H&E; ×20; 14 tiles cut from one stomach biopsy slide; 300 × 300 pixels each.
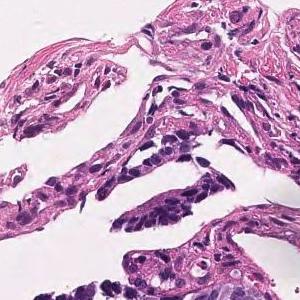
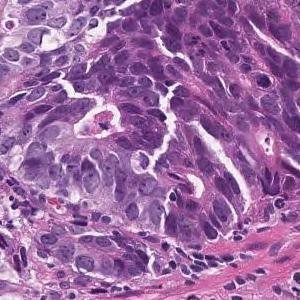
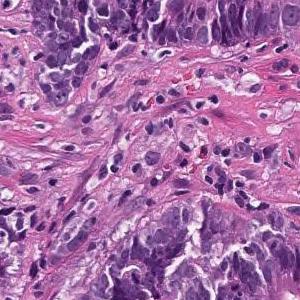
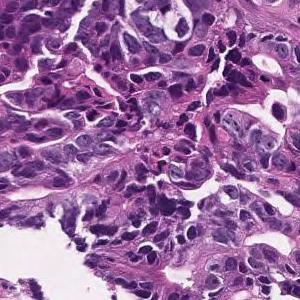
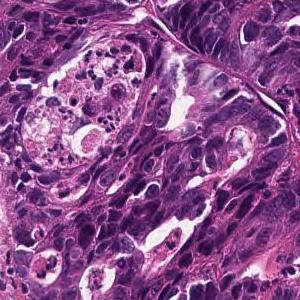
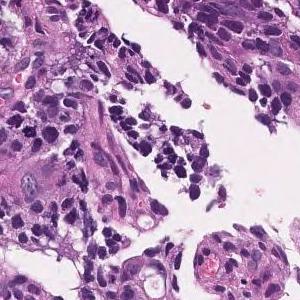
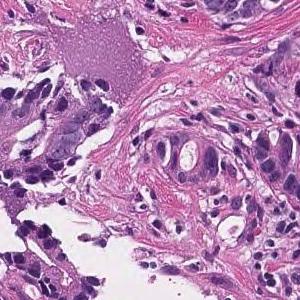
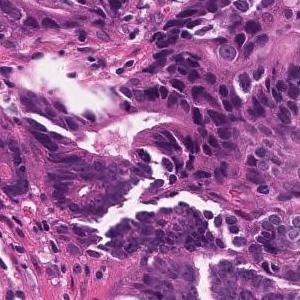
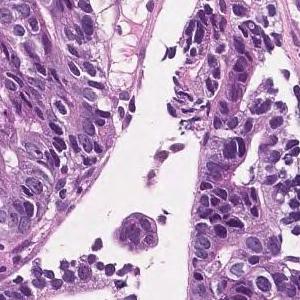
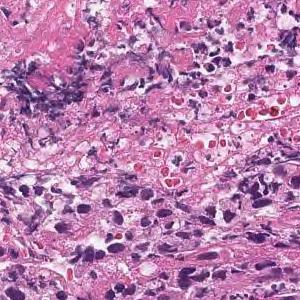
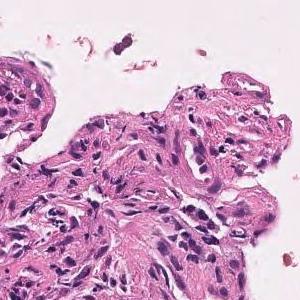
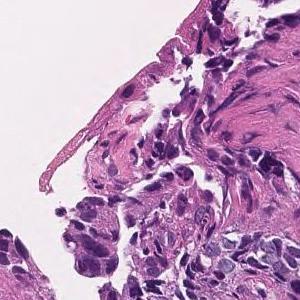
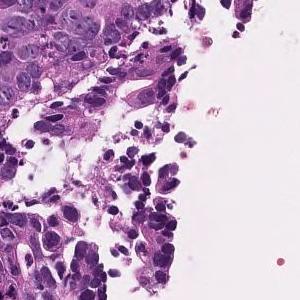
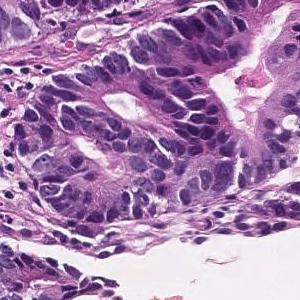
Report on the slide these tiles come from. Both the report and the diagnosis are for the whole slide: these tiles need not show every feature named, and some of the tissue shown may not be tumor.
In the superficial epithelium, tumor tissue that invades by forming medium-sized to small, irregular ducts is observed. moderately differentiated tubular adenocarcinoma.
